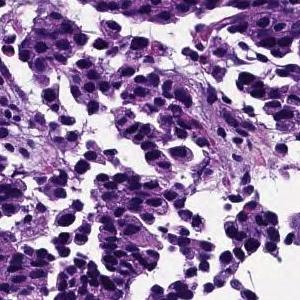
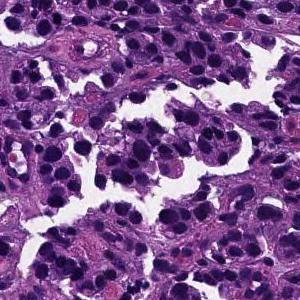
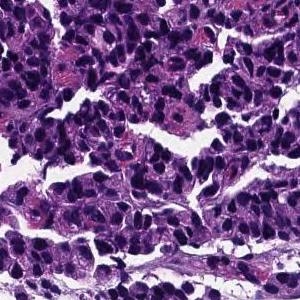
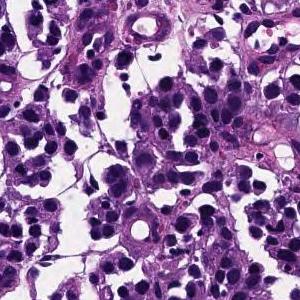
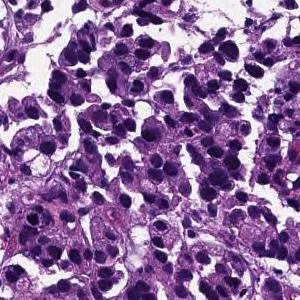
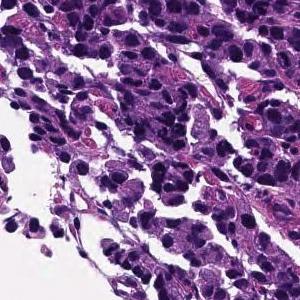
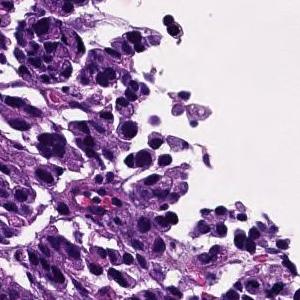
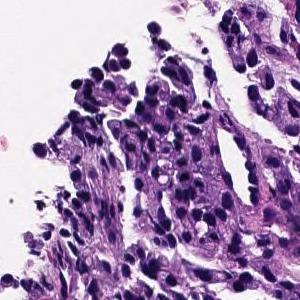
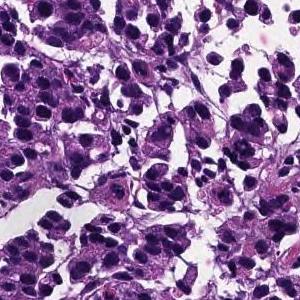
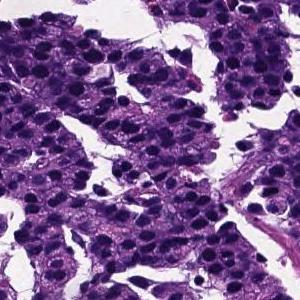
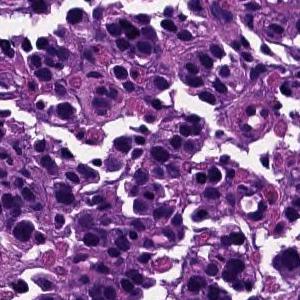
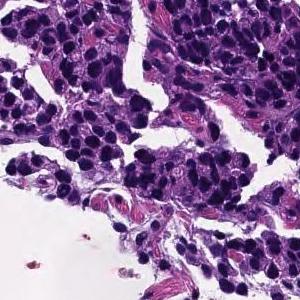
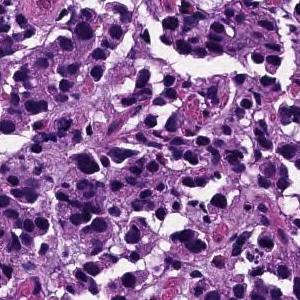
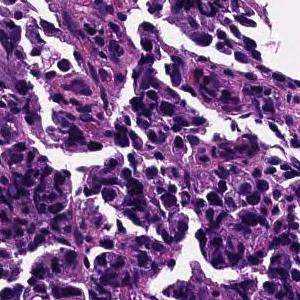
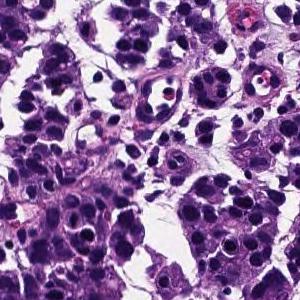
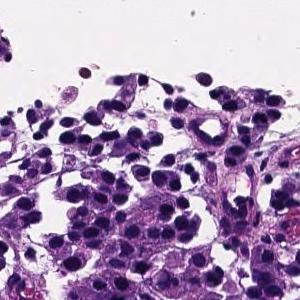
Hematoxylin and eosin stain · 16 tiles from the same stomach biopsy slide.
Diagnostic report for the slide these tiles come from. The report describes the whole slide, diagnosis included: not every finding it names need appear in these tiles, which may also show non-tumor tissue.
The superficial epithelium shows a large alveolar shape and infiltrates tumor tissue. Poorly differentiated adenocarcinoma, solid-type
Tumor subtype: poorly differentiated adenocarcinoma, solid type. This name comes from the Japanese Classification of Gastric Carcinoma; the WHO 2019 classification calls it tubular adenocarcinoma, poorly differentiated.
